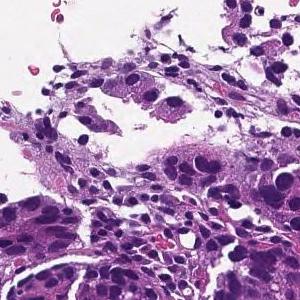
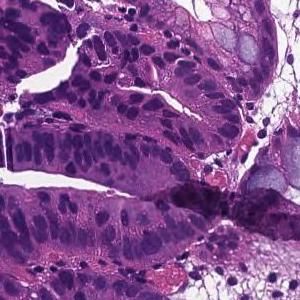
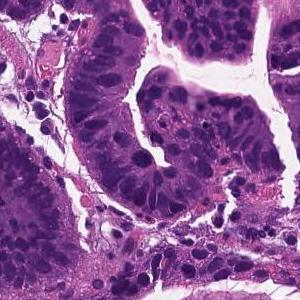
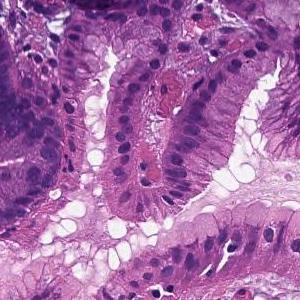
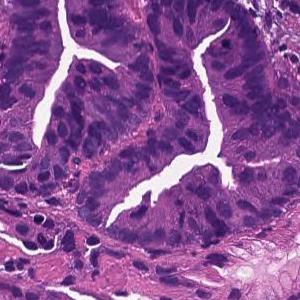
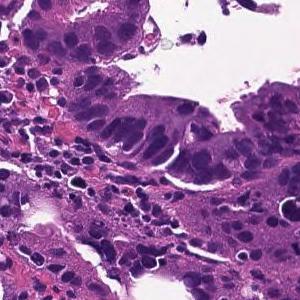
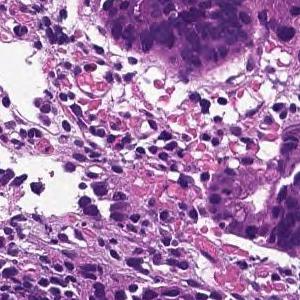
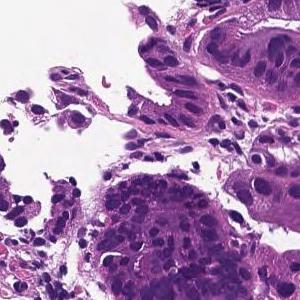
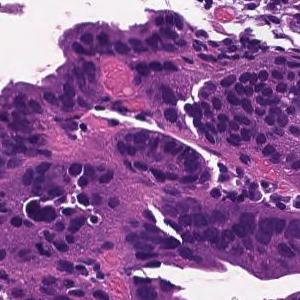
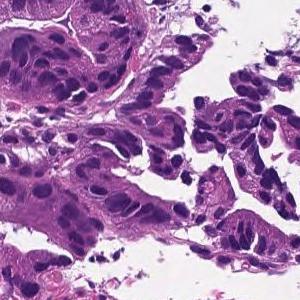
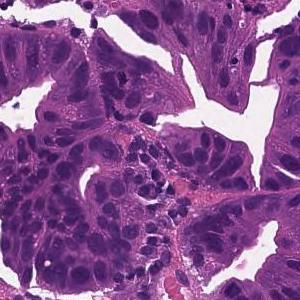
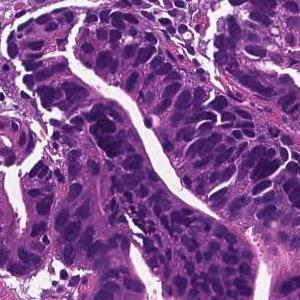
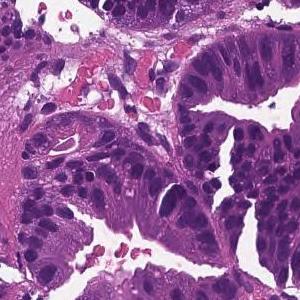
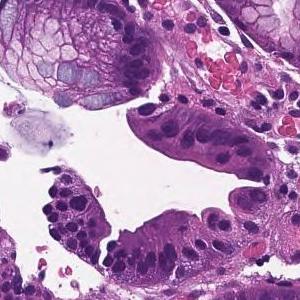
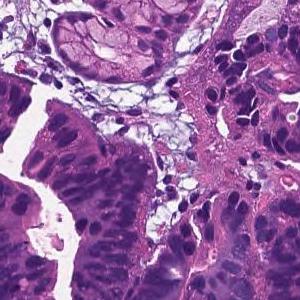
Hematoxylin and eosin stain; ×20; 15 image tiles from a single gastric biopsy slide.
Pathology report for the biopsy slide these tiles were cut from. The report describes the whole slide, diagnosis included: not every finding it names need appear in these tiles, which may also show non-tumor tissue.
From the superficial epithelium to the muscularis mucosae, tumor tissue consisting of medium-sized and irregular glandular ducts infiltrating is observed. Well differentiated tubular adenocarcinoma
